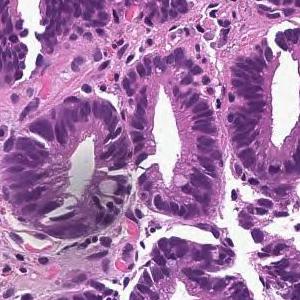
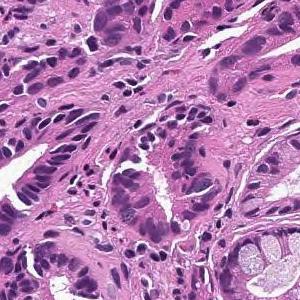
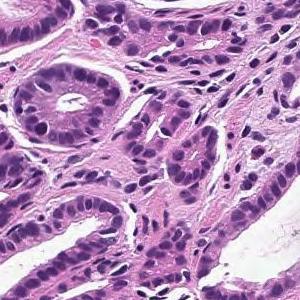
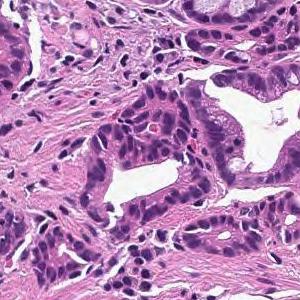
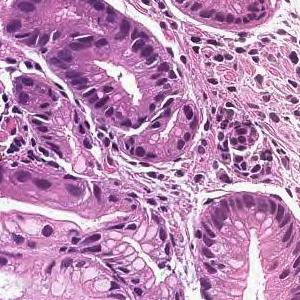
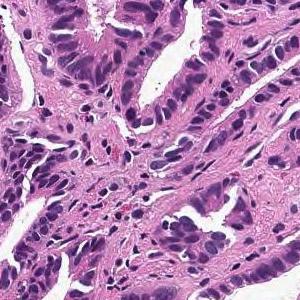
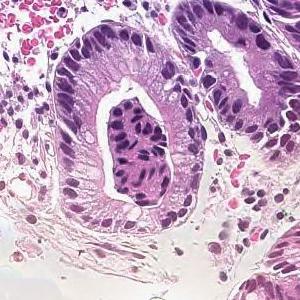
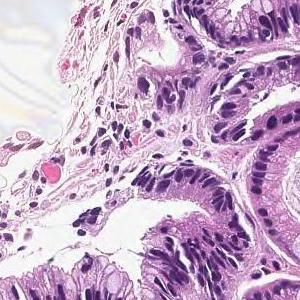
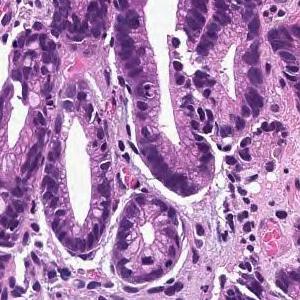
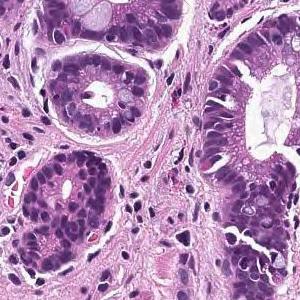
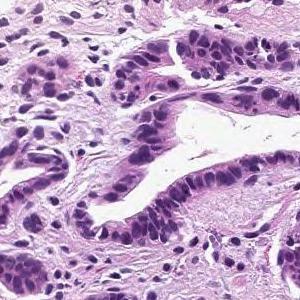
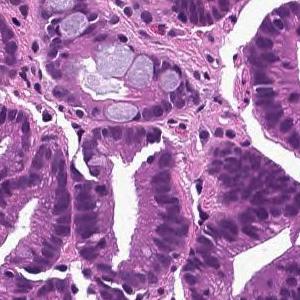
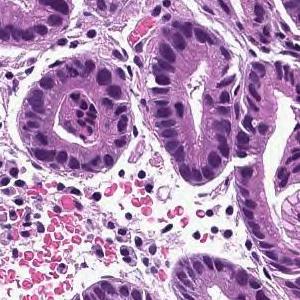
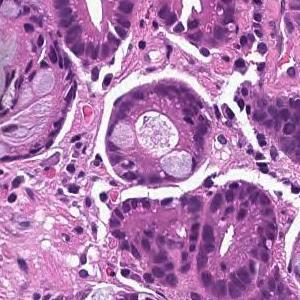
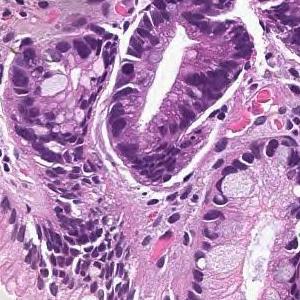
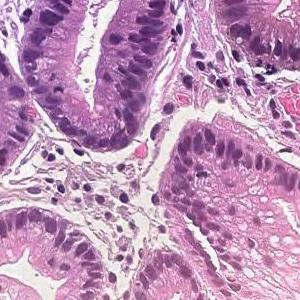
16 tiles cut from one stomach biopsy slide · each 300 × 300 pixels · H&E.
The pathologist's report on the biopsy slide these tiles were taken from. Both the report and the diagnosis are for the whole slide: these tiles need not show every feature named, and some of the tissue shown may not be tumor.
From the superficial epithelium to the muscularis mucosae, tumor tissue consisting of medium-sized and irregular glandular ducts infiltrating is observed. Well differentiated tubular adenocarcinoma
